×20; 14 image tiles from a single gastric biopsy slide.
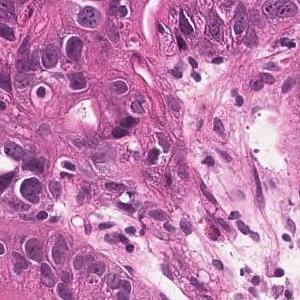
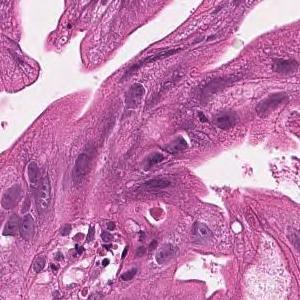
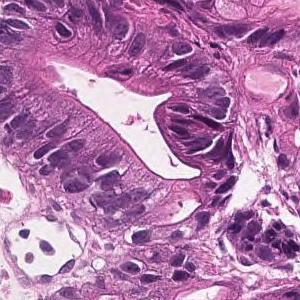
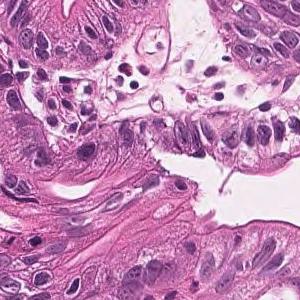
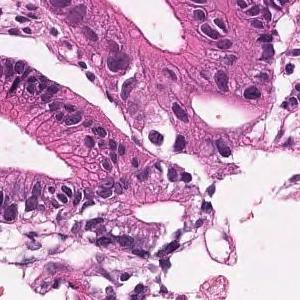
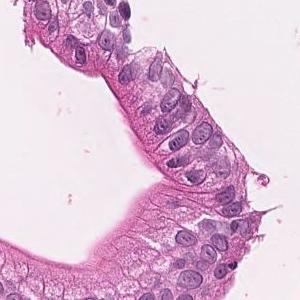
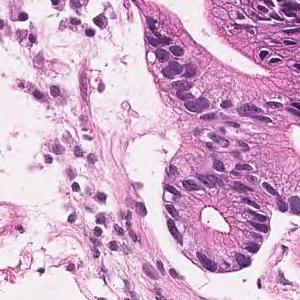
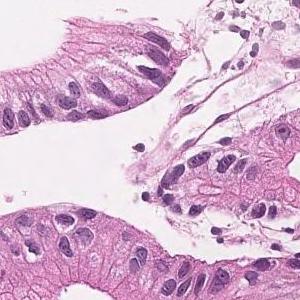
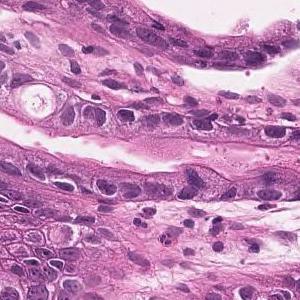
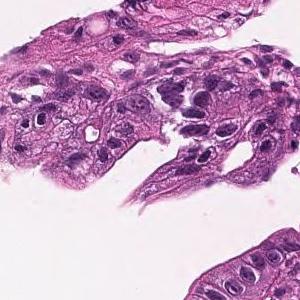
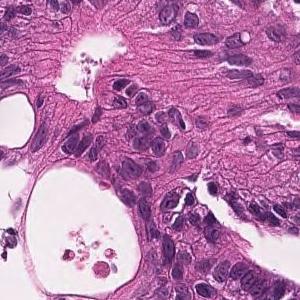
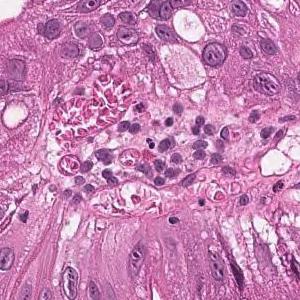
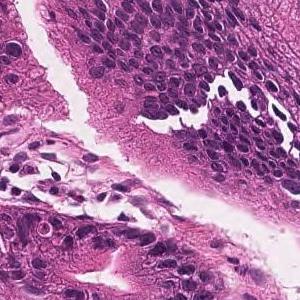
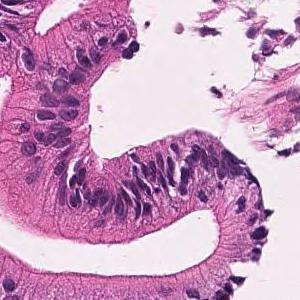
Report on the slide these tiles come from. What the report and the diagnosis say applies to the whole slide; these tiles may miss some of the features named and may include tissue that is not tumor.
On the superficial epithelium, tumor tissue that infiltrates by forming medium-sized papillary or small irregular ducts is observed. Papillary adenocarcinoma
